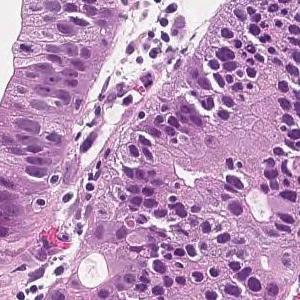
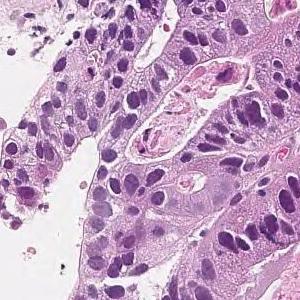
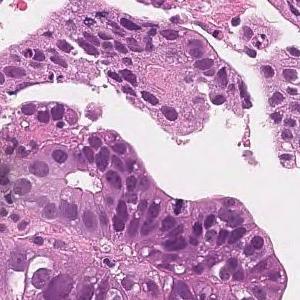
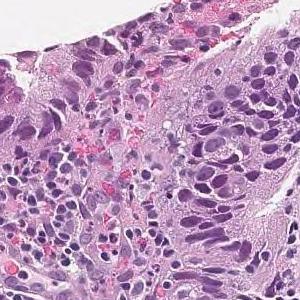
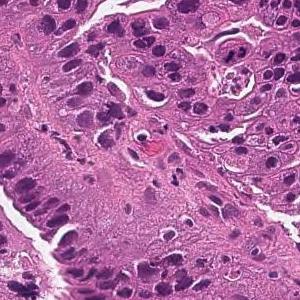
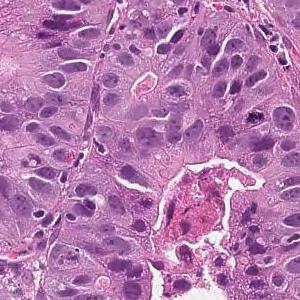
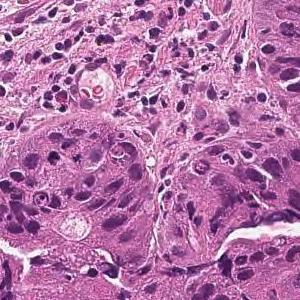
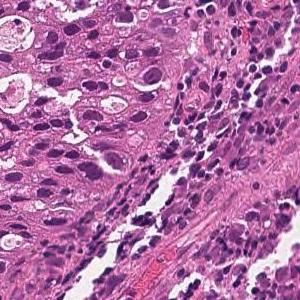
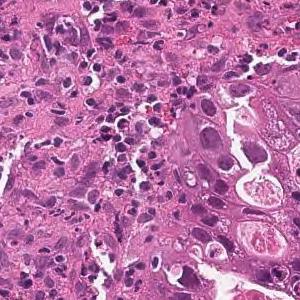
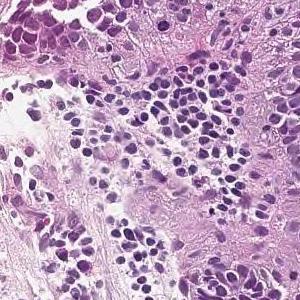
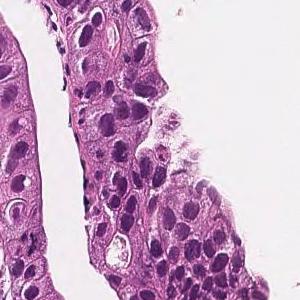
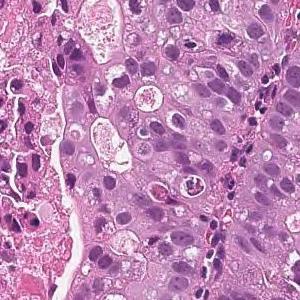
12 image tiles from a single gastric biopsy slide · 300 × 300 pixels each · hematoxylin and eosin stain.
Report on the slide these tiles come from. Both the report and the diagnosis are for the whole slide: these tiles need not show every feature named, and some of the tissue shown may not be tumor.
In the superficial epithelium, tumor tissue that invades by forming medium-sized to small, irregular ducts is observed. moderately differentiated tubular adenocarcinoma.
